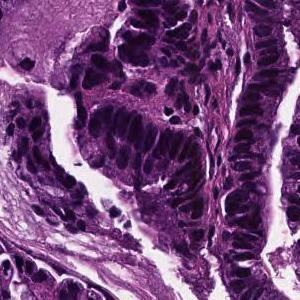
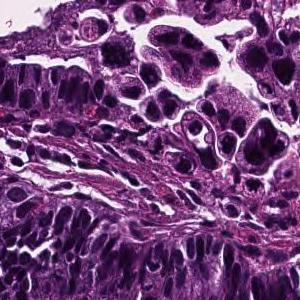
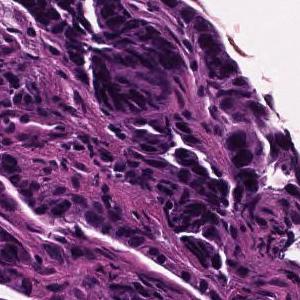
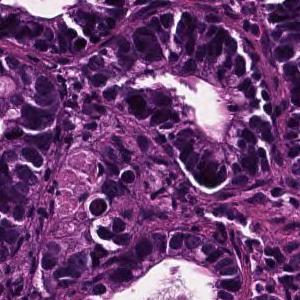
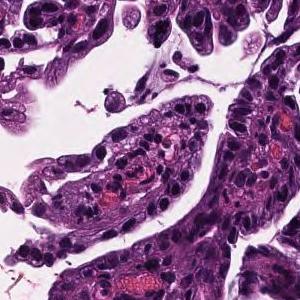
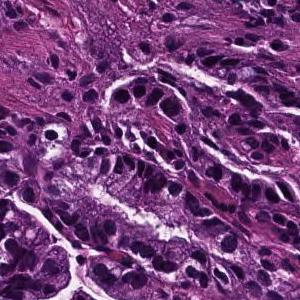
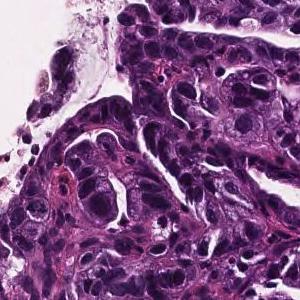
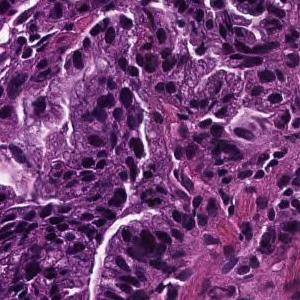
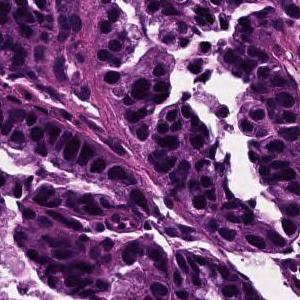
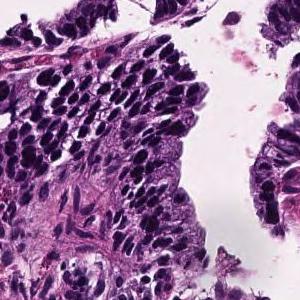
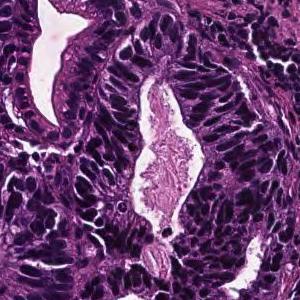
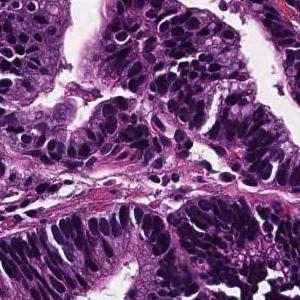
Hematoxylin and eosin stain, 20× magnification, 12 tiles cut from one stomach biopsy slide.
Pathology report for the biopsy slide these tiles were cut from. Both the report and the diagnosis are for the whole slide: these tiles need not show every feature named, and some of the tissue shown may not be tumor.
In the superficial epithelium, tumor tissue that invades by forming medium-sized to small, irregular ducts is observed. Well differentiated tubular adenocarcinoma.
